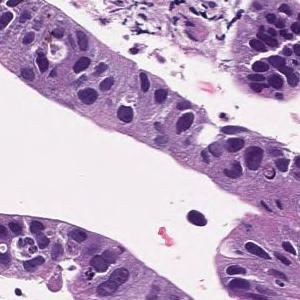
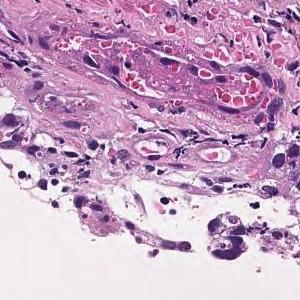
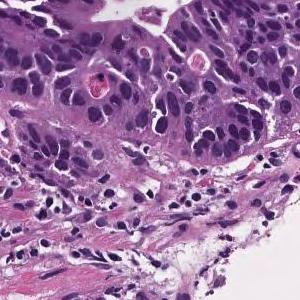
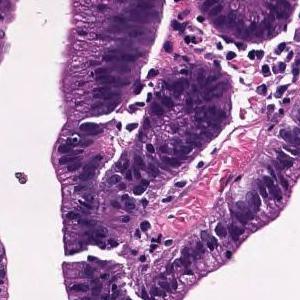
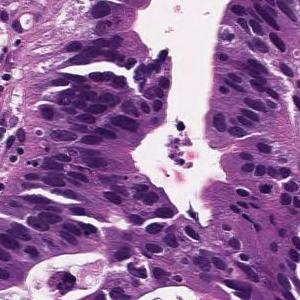
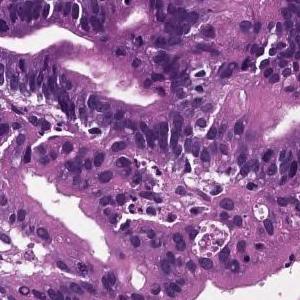
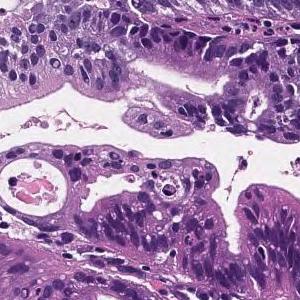
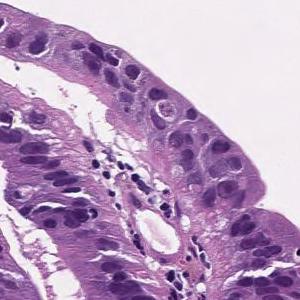
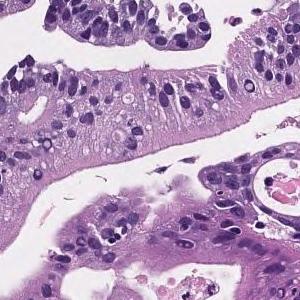
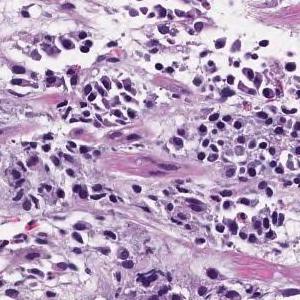
10 image tiles from a single gastric biopsy slide; H&E stain.
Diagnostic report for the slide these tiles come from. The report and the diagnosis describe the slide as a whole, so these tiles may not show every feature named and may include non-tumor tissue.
Tumor cells are large, highly columnar, large club-shaped nuclei, and are associated with chromatin aggregation. Papillary adenocarcinoma.
